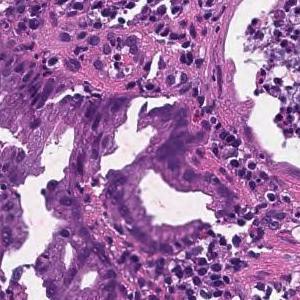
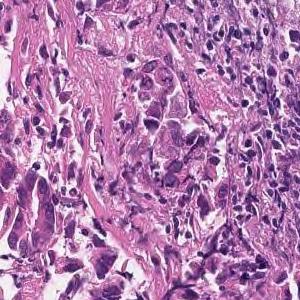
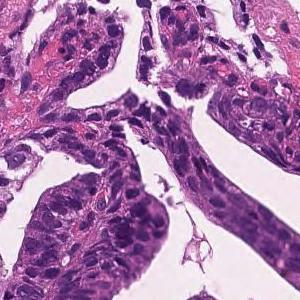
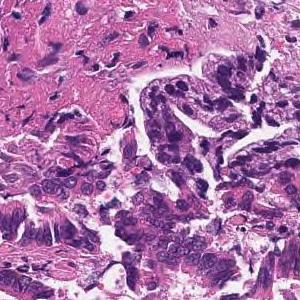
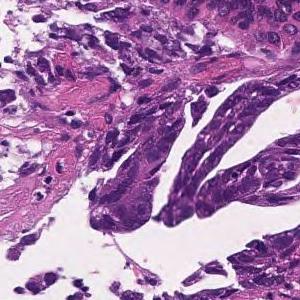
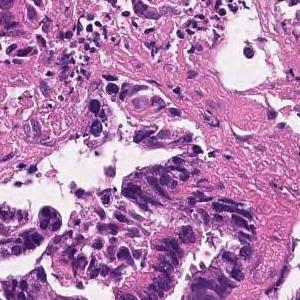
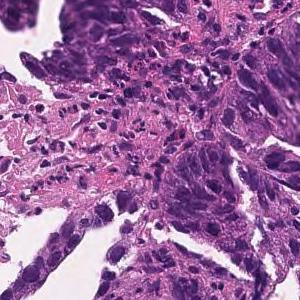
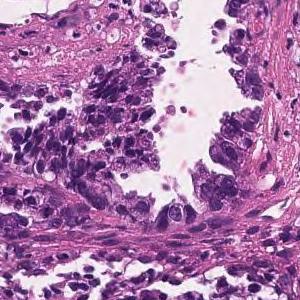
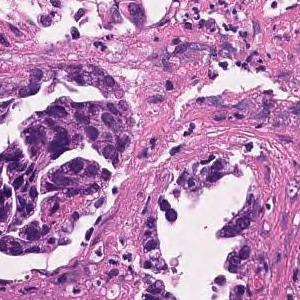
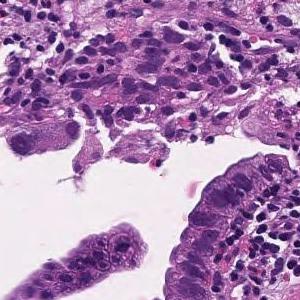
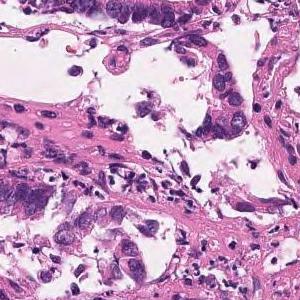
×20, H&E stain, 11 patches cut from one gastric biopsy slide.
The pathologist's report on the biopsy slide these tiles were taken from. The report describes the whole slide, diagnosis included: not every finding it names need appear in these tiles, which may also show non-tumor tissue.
On the superficial epithelium, tumor tissue consisting of large, irregular glandular ducts partially fused and infiltrated is observed. Well to moderately differentiated tubular adenocarcinoma (well differentiated tubular adenocarcinoma, moderately differentiated tubular adenocarcinoma)
Tumor subtype: well to moderately differentiated tubular adenocarcinoma.
